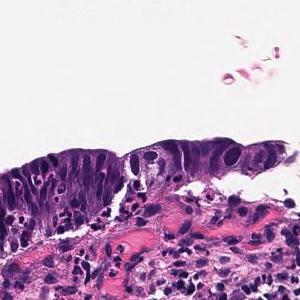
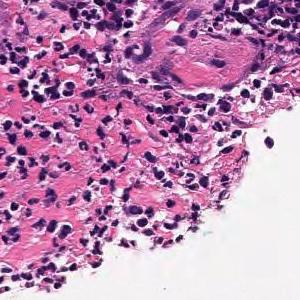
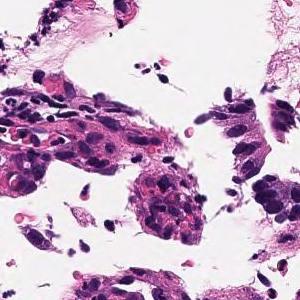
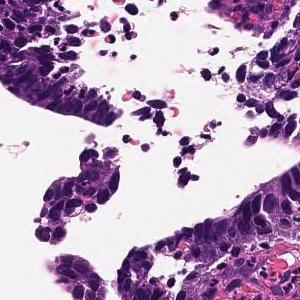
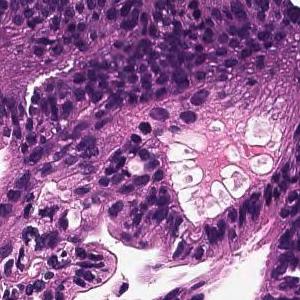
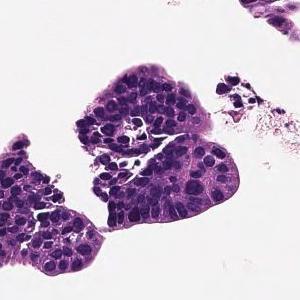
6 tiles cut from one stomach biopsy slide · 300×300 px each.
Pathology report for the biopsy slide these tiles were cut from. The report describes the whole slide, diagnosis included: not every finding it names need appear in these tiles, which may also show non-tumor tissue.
Tumor cells are large, highly columnar, large club-shaped nuclei, and are associated with chromatin aggregation. Papillary adenocarcinoma.
